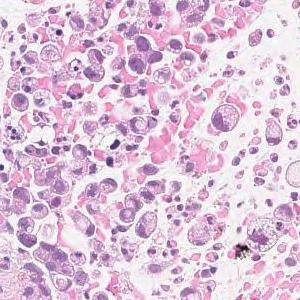
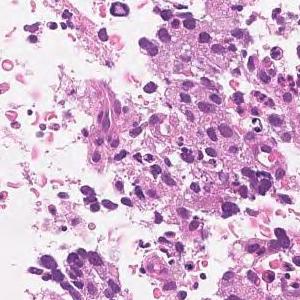
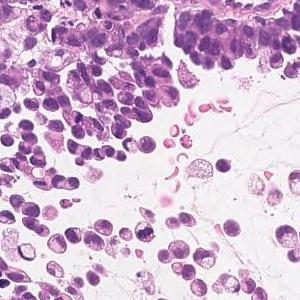
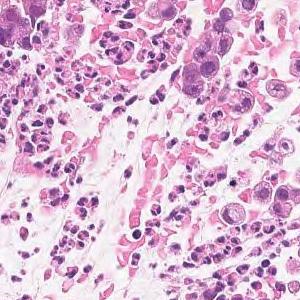
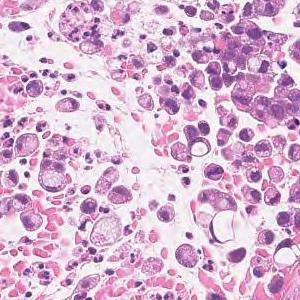
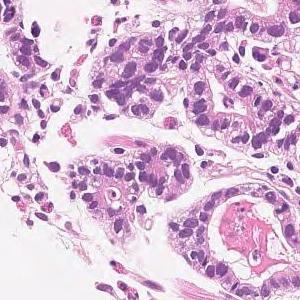
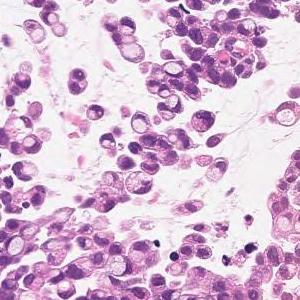
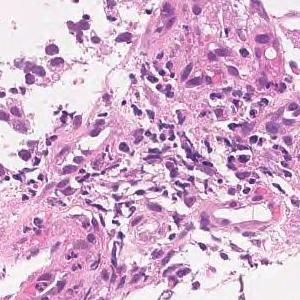
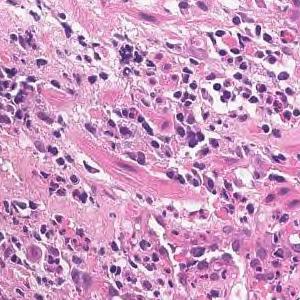
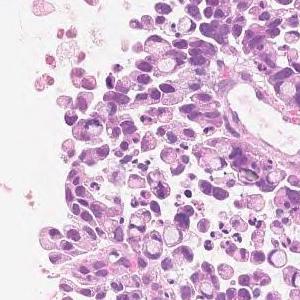
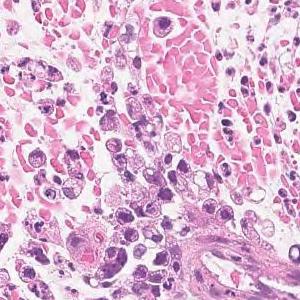
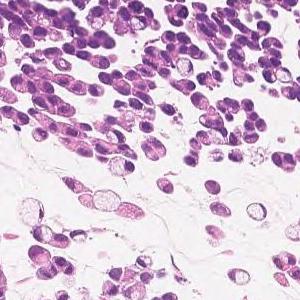
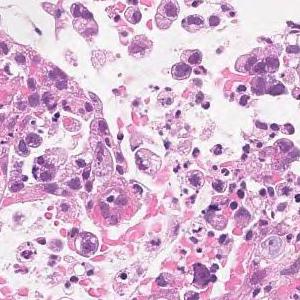
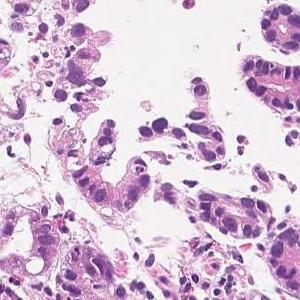
Hematoxylin and eosin stain, 14 image tiles from a single gastric biopsy slide, 300×300 px each.
Pathology report for the slide these tiles were cut from. Both the report and the diagnosis are for the whole slide: these tiles need not show every feature named, and some of the tissue shown may not be tumor.
Medium to small, irregular glandular ducts are formed in the superficial epithelium, and in some cases, the glandular ducts are fused to show solid alveolar lesions and infiltrating tumor tissue is observed. Moderately to poorly differentiated adenocarcinoma.
